H&E stain, 20× magnification, 12 tiles cut from one stomach biopsy slide, 300 × 300 pixels each.
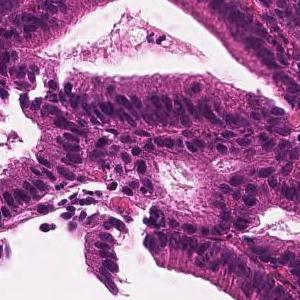
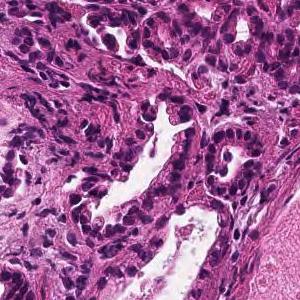
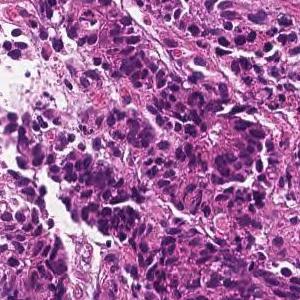
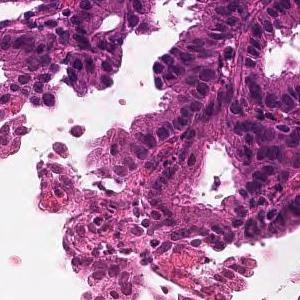
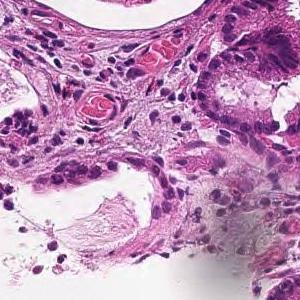
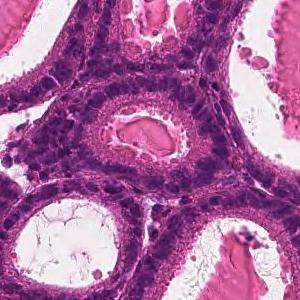
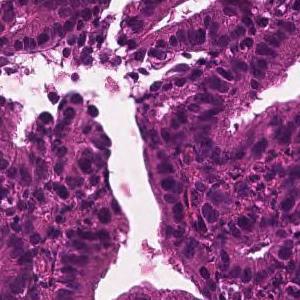
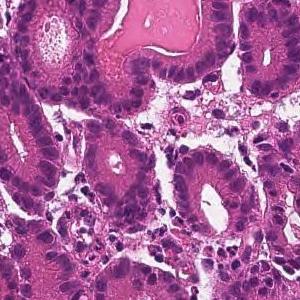
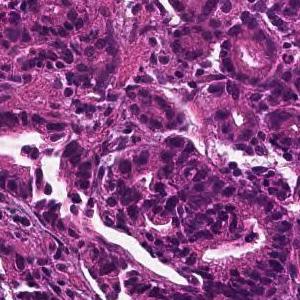
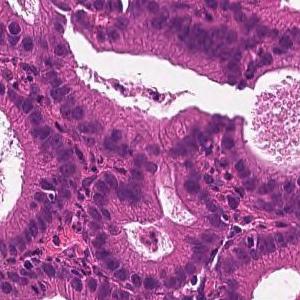
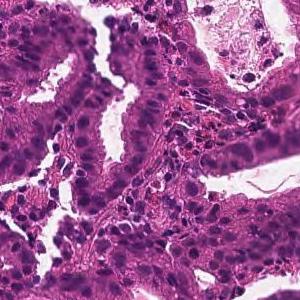
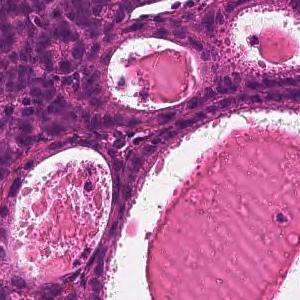
The pathologist's report on the biopsy slide these tiles were taken from. The report and the diagnosis cover the entire slide, so not every feature they name need be visible here, and some tissue shown may not be tumor.
From the superficial epithelium to the muscularis mucosae, tumor tissue consisting of medium-sized and irregular glandular ducts infiltrating is observed. Well differentiated tubular adenocarcinoma
